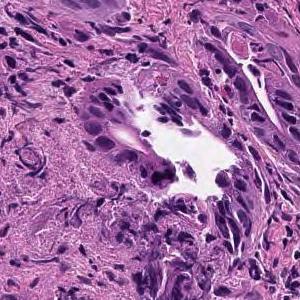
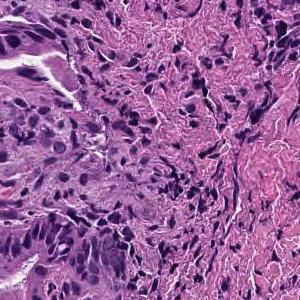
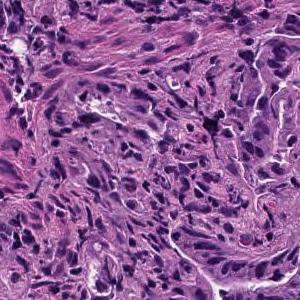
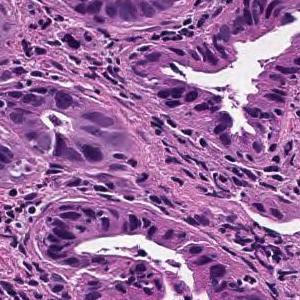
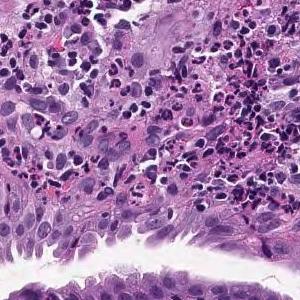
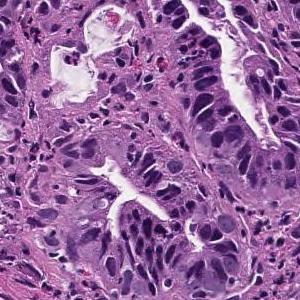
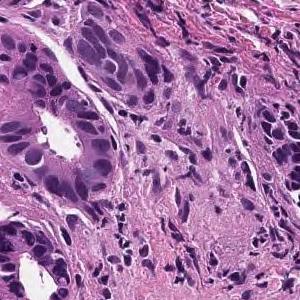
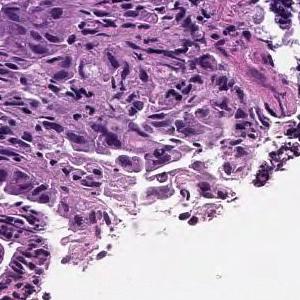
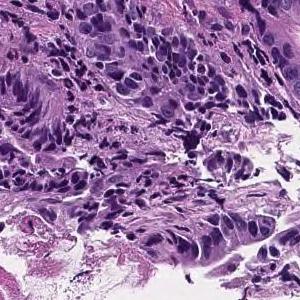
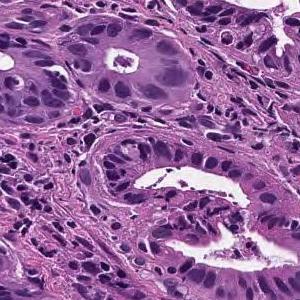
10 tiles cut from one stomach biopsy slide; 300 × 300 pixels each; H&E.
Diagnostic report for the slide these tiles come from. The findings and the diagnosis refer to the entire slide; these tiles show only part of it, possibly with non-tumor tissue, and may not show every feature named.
On the superficial epithelium, tumor tissue consisting of large, irregular glandular ducts partially fused and infiltrated is observed. Well to moderately differentiated tubular adenocarcinoma (well differentiated tubular adenocarcinoma, moderately differentiated tubular adenocarcinoma)
Histologic type: Well to moderately differentiated tubular adenocarcinoma.
